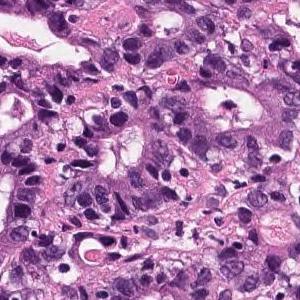
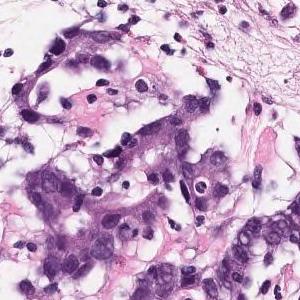
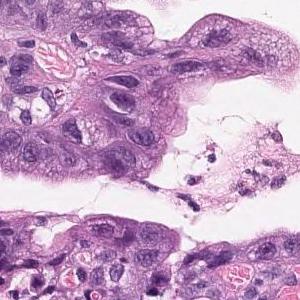
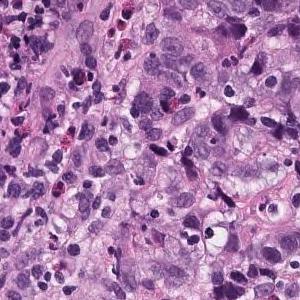
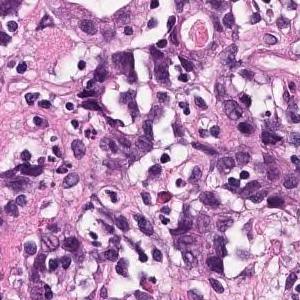
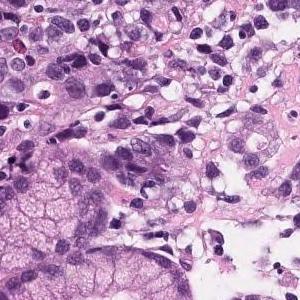
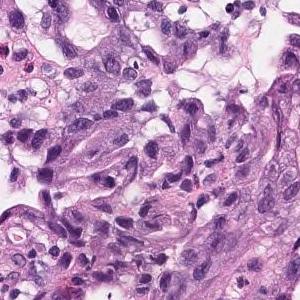
7 tiles cut from one stomach biopsy slide; 300×300 px each.
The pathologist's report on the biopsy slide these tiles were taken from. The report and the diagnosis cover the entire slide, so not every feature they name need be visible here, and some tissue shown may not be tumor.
Atypical ducts proliferating with obscure duct construction and solid sequences is observed. Moderately to poorly differentiated adenocarcinoma.
